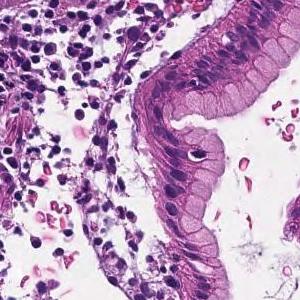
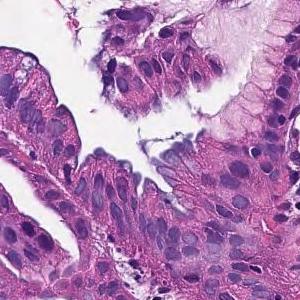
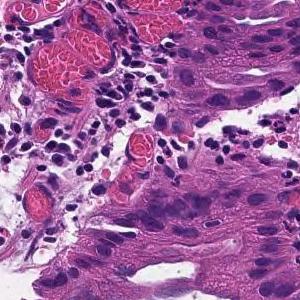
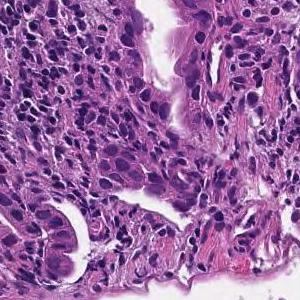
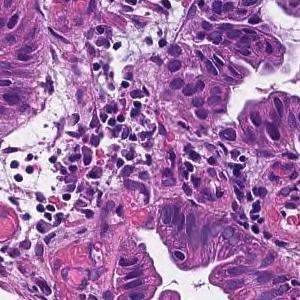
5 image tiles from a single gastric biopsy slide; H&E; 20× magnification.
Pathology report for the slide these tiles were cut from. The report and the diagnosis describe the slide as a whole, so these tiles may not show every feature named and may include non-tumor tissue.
On the superficial epithelium, tumor tissue that infiltrates by forming medium-sized papillary or small irregular ducts is observed. Papillary adenocarcinoma
